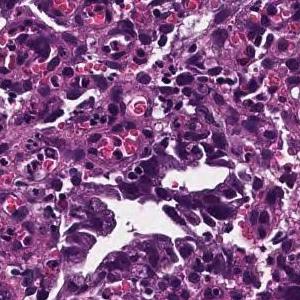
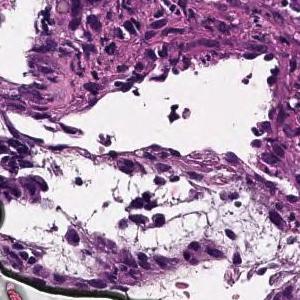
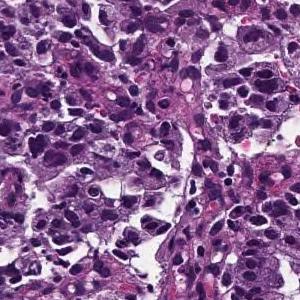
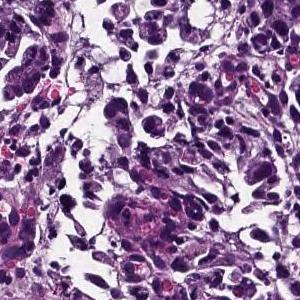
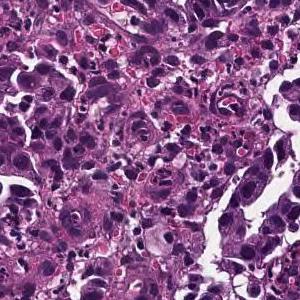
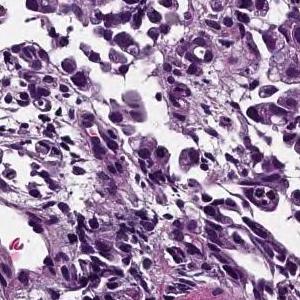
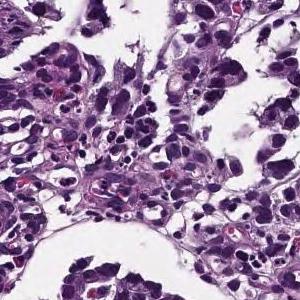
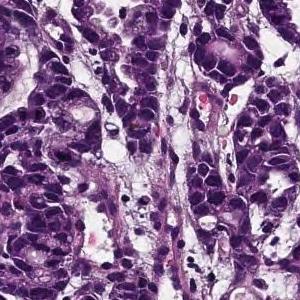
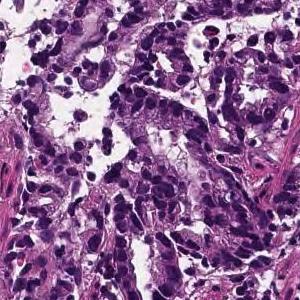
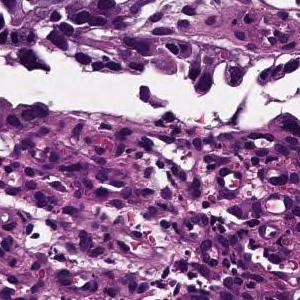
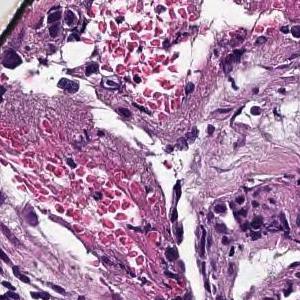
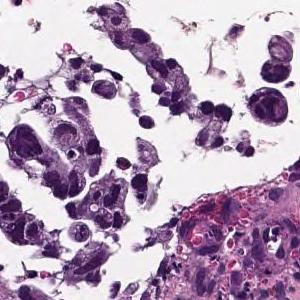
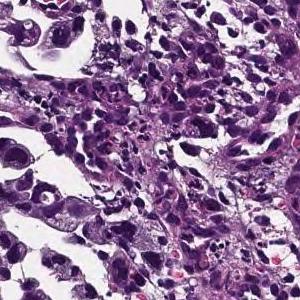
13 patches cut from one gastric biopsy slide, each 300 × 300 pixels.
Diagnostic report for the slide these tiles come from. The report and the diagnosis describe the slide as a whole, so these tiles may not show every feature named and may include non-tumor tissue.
Medium to small, irregular glandular ducts are formed in the superficial epithelium, and in some cases, the glandular ducts are fused to show solid alveolar lesions and infiltrating tumor tissue is observed. Moderately to poorly differentiated adenocarcinoma.
